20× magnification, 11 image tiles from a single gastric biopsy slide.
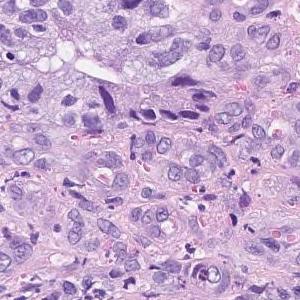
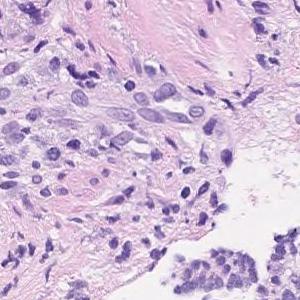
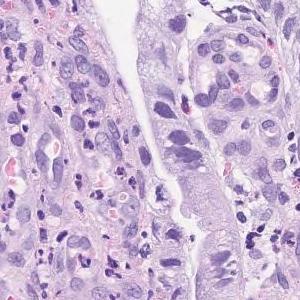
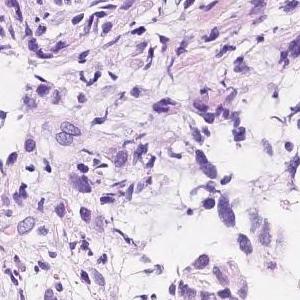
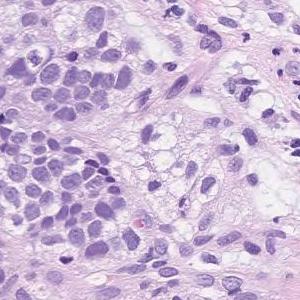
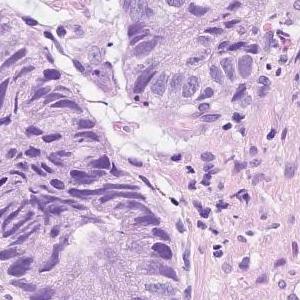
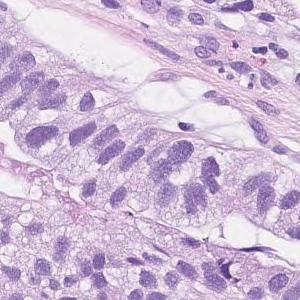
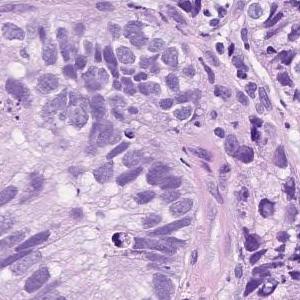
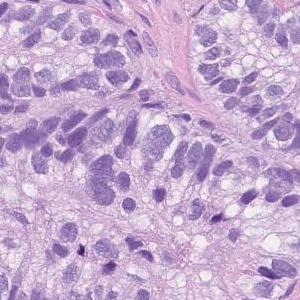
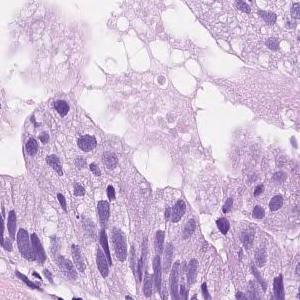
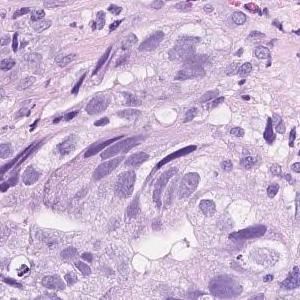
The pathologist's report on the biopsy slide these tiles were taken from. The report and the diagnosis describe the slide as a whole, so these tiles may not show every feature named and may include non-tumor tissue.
Atypical l cells with atypical nuclei forming solid or diffuse vesicles or small irregular atypical ducts and growing in a complex manner. moderately differentiated tubular adenocarcinoma
